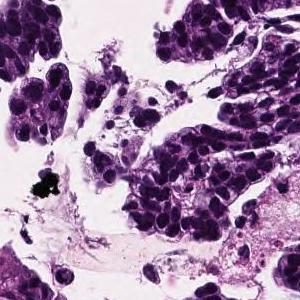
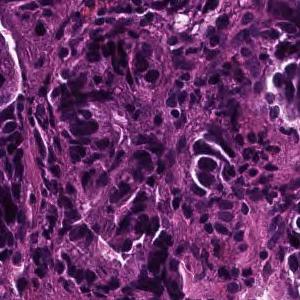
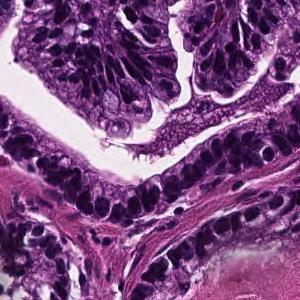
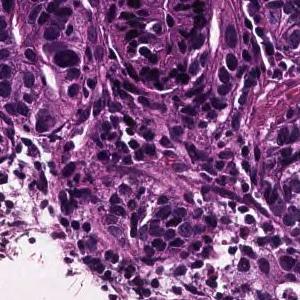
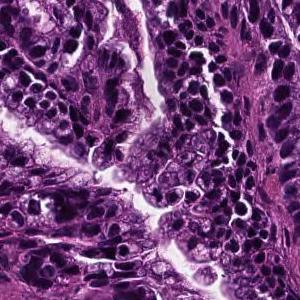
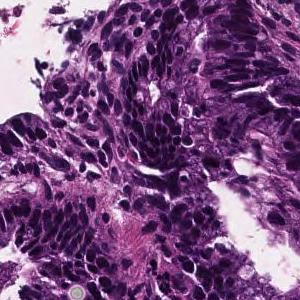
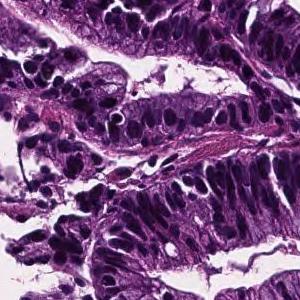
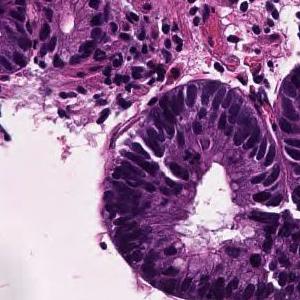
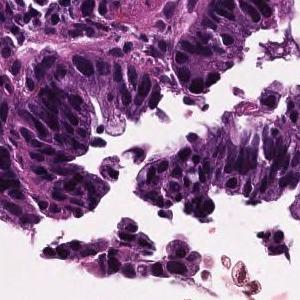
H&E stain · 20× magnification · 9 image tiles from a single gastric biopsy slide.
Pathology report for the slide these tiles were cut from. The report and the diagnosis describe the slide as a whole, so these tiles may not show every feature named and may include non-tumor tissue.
In the superficial epithelium, tumor tissue that invades by forming medium-sized to small, irregular ducts is observed. Well differentiated tubular adenocarcinoma.
